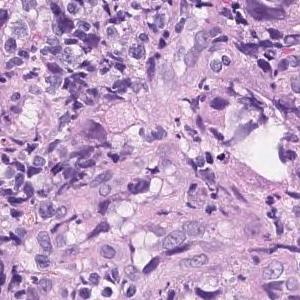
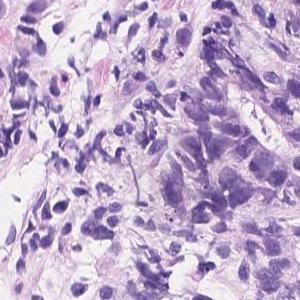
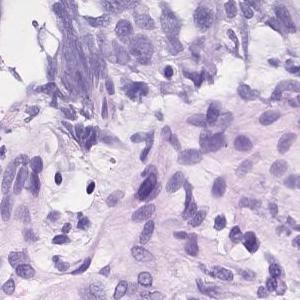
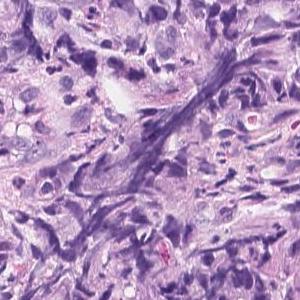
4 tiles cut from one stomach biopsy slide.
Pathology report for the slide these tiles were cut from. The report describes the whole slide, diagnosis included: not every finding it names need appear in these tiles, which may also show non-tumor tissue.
Atypical epithelial cells infiltrating and proliferating diffusely or while forming vesicles is observed. Poorly differentiated adenocarcinoma (poorly differentiated adenocarcinoma, solid type moderately differentiated tubular adenocarcinoma)
The dataset labels this slide poorly differentiated adenocarcinoma, solid type, a category of the Japanese Classification of Gastric Carcinoma; in the WHO 2019 classification it is tubular adenocarcinoma, poorly differentiated.
